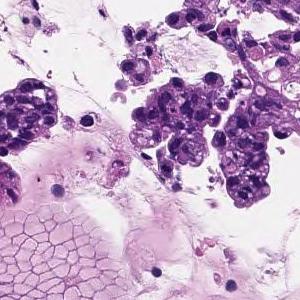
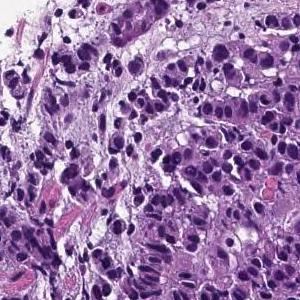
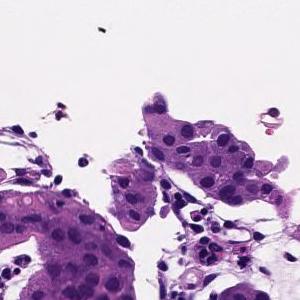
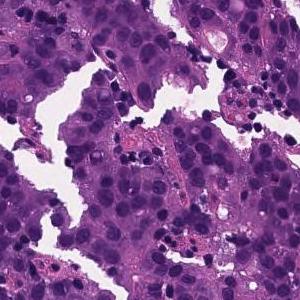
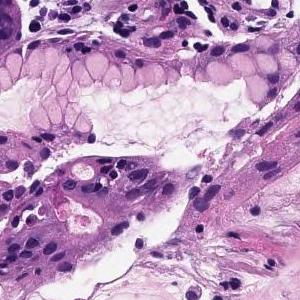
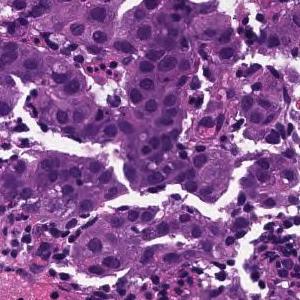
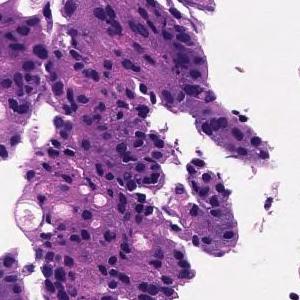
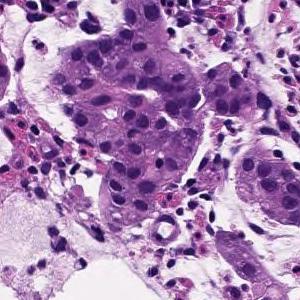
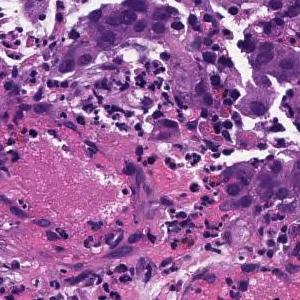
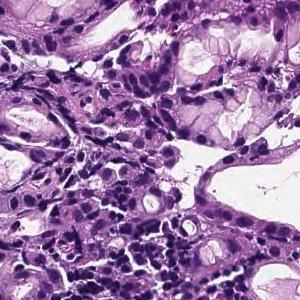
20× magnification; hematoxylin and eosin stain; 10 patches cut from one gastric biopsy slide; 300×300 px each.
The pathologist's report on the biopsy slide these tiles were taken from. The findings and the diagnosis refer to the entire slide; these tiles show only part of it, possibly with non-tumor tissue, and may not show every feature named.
The superficial epithelium shows a large sheet-like shape, and some tumor tissue infiltrates with small irregular ducts. Poorly differentiated adenocarcinoma, solid-type
Subtype: Poorly differentiated adenocarcinoma, solid type, a category of the Japanese Classification of Gastric Carcinoma; in the WHO 2019 classification it is tubular adenocarcinoma, poorly differentiated.
